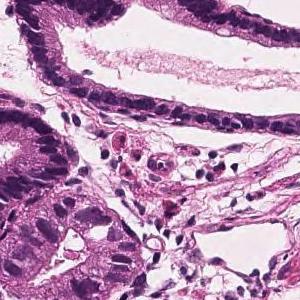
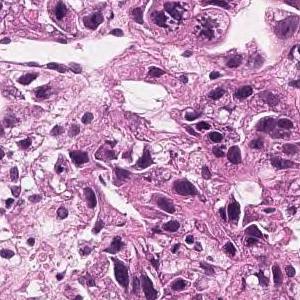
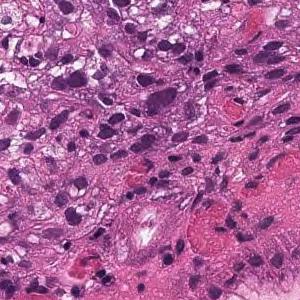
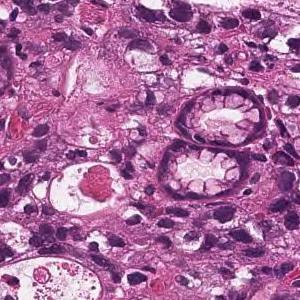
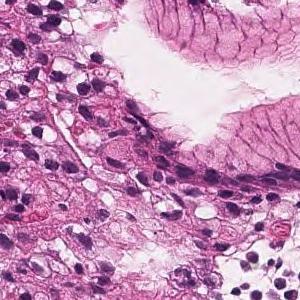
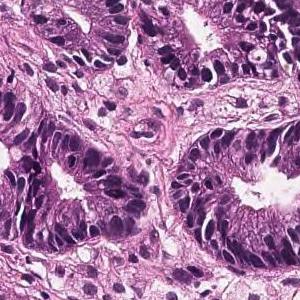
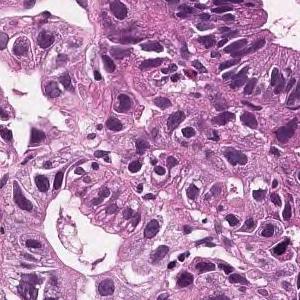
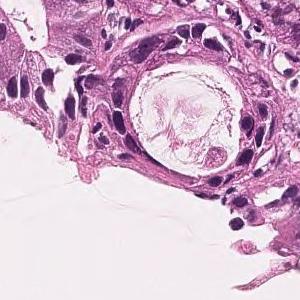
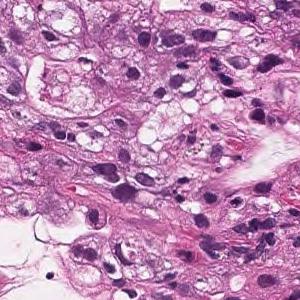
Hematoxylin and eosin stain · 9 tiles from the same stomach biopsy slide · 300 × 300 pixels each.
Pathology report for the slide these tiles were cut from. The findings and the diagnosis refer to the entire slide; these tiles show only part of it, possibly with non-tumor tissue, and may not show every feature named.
Medium to small, irregular glandular ducts are formed in the superficial epithelium, and in some cases, the glandular ducts are fused to show solid alveolar lesions and infiltrating tumor tissue is observed. Moderately to poorly differentiated adenocarcinoma.
